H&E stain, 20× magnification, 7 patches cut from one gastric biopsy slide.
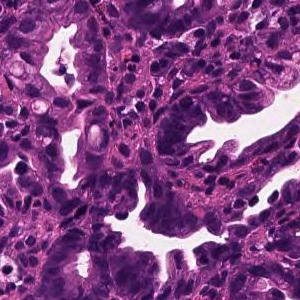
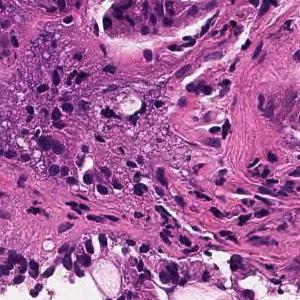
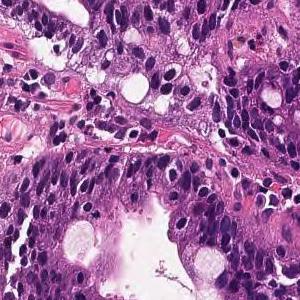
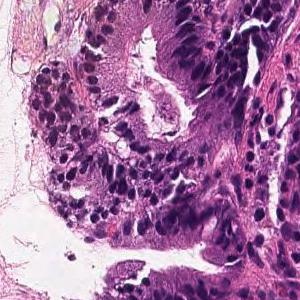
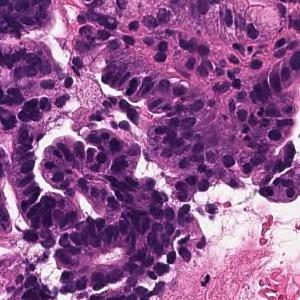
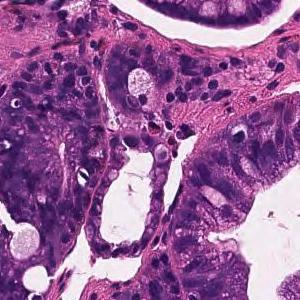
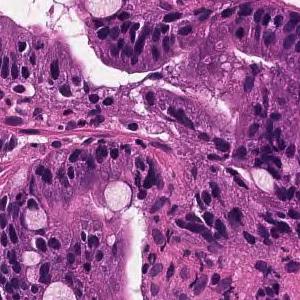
Report on the slide these tiles come from. Both the report and the diagnosis are for the whole slide: these tiles need not show every feature named, and some of the tissue shown may not be tumor.
On the superficial epithelium, tumor tissue that infiltrates by forming medium-sized papillary or small irregular ducts is observed. Papillary adenocarcinoma
